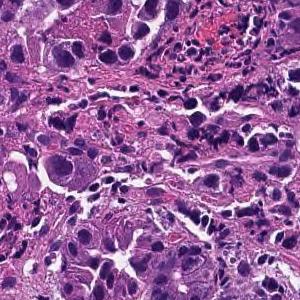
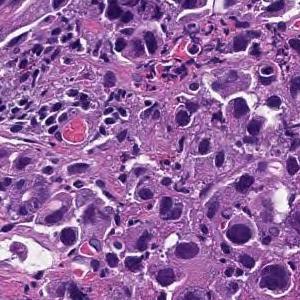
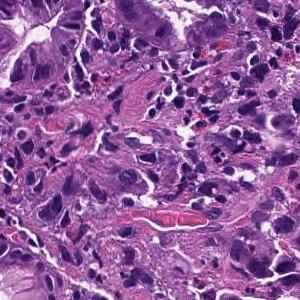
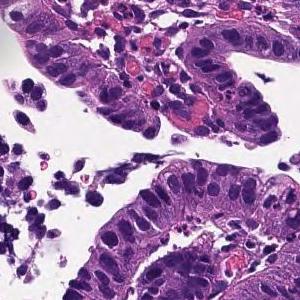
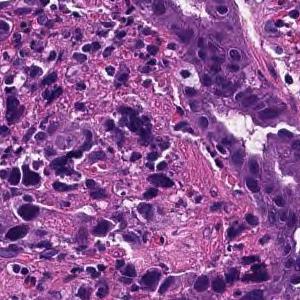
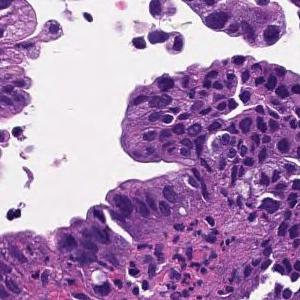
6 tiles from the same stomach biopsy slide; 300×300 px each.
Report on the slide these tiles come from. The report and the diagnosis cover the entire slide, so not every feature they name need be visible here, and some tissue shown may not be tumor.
Tumor tissue consisting of medium-sized, cord-like or irregular glandular infiltration is observed in the superficial epithelium. Poorly differentiated adenocarcinoma, non-solid type or moderately differentiated tubular adenocarcinoma
Tumor subtype: moderately to poorly differentiated adenocarcinoma.
The non-solid type named here is a Japanese Classification of Gastric Carcinoma category.
